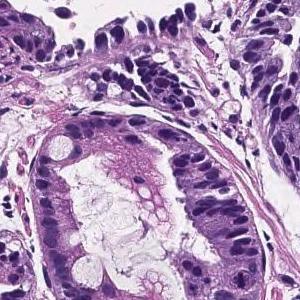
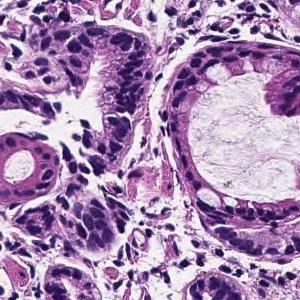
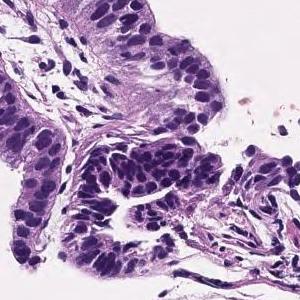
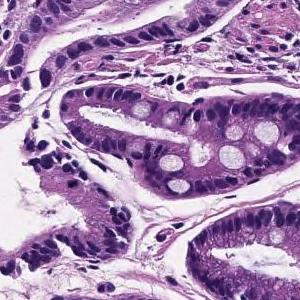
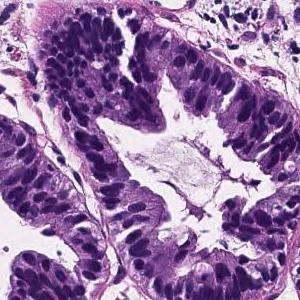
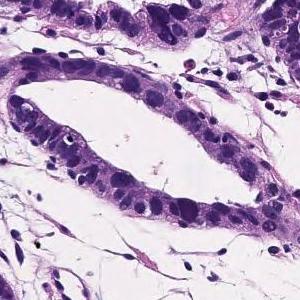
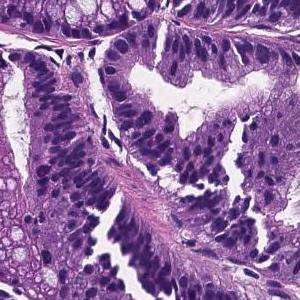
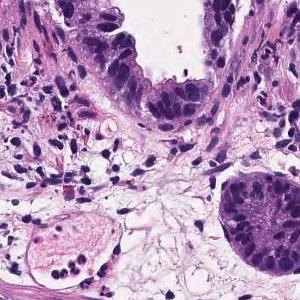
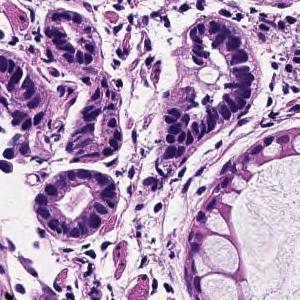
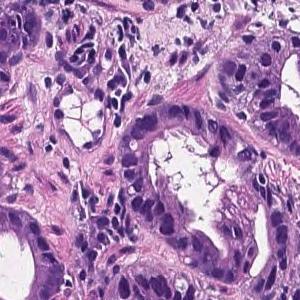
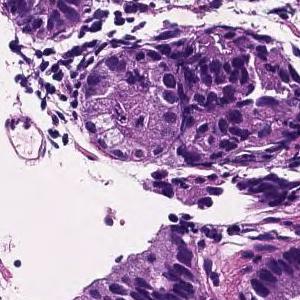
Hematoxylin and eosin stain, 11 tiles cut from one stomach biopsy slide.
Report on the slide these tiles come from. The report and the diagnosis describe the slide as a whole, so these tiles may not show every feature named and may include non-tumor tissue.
Tumor cells are large, highly columnar, large club-shaped nuclei, and are associated with chromatin aggregation. Papillary adenocarcinoma.
